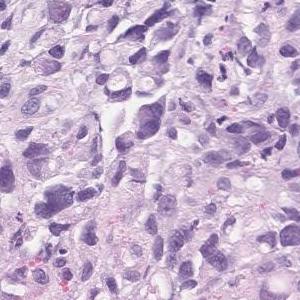
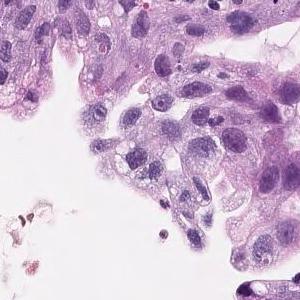
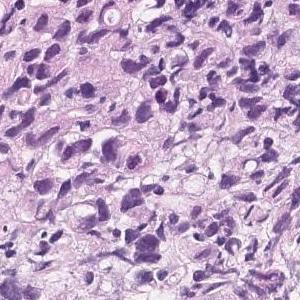
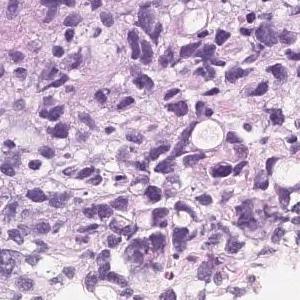
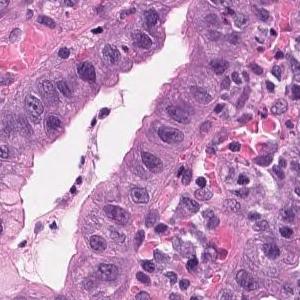
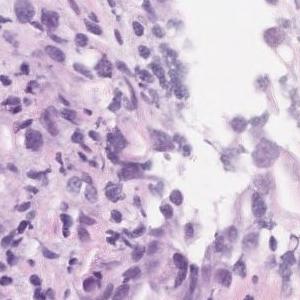
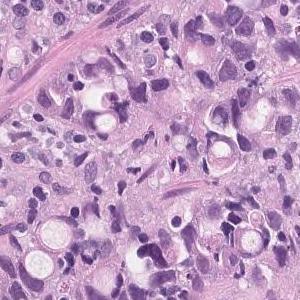
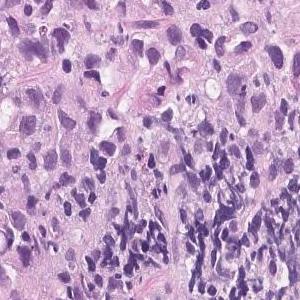
H&E; 8 image tiles from a single gastric biopsy slide.
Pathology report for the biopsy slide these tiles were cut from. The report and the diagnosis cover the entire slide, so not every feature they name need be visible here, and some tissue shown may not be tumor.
Tumor tissue consisting of medium-sized, cord-like or irregular glandular infiltration is observed in the superficial epithelium. Poorly differentiated adenocarcinoma, non-solid type or moderately differentiated tubular adenocarcinoma
Dataset label: poorly differentiated adenocarcinoma, non-solid type.
The term "non-solid type" comes from the Japanese Classification of Gastric Carcinoma.
